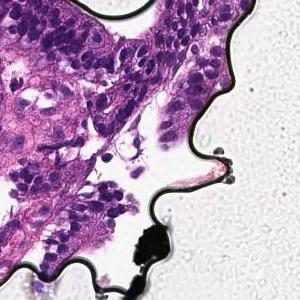
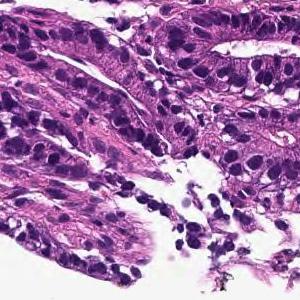
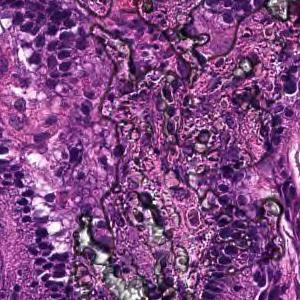
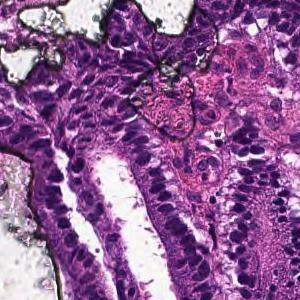
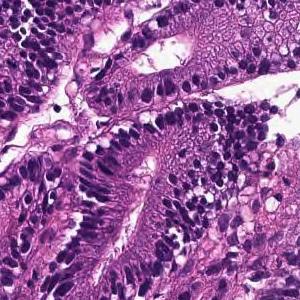
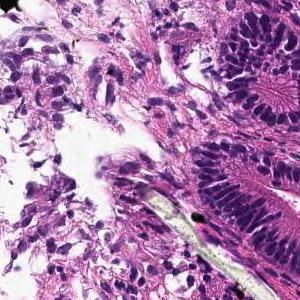
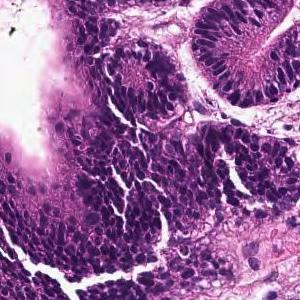
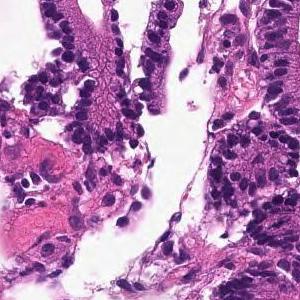
20× magnification; H&E stain; 8 patches cut from one gastric biopsy slide; each 300 × 300 pixels.
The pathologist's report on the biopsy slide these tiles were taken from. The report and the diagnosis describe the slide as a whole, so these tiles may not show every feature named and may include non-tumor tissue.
On the superficial epithelium, tumor tissue that infiltrates by forming medium-sized round or small irregular ducts is observed. Papillary adenocarcinoma
